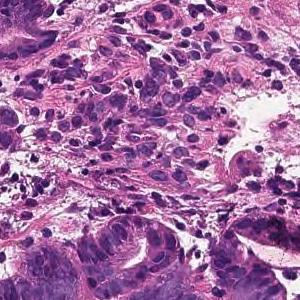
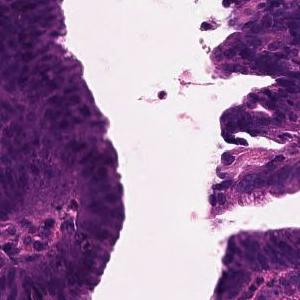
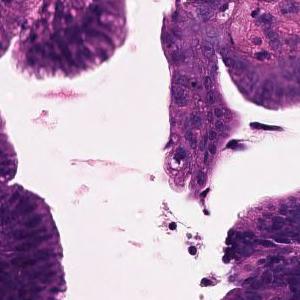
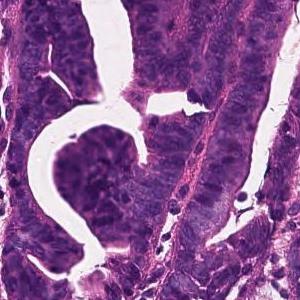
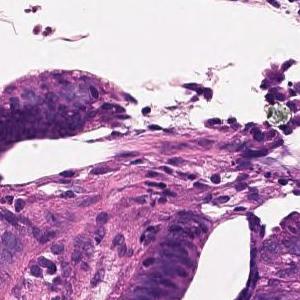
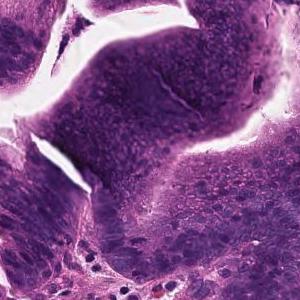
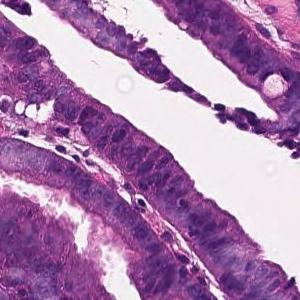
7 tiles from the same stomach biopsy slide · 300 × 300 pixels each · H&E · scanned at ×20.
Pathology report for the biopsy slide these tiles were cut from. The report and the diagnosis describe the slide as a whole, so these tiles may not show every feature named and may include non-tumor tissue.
Tumor cells are large, highly columnar, large club-shaped nuclei, and are associated with chromatin aggregation. Papillary adenocarcinoma.
